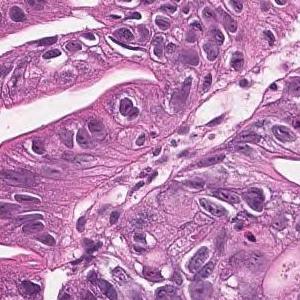
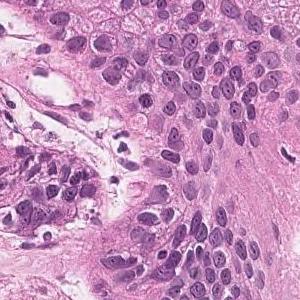
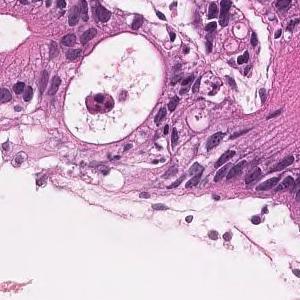
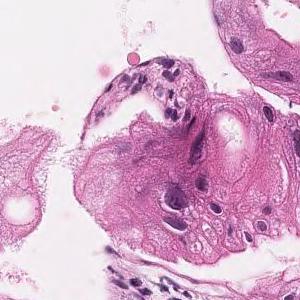
Scanned at ×20; H&E; 4 tiles from the same stomach biopsy slide; 300 × 300 pixels each.
Diagnostic report for the slide these tiles come from. The report and the diagnosis describe the slide as a whole, so these tiles may not show every feature named and may include non-tumor tissue.
On the superficial epithelium, tumor tissue that infiltrates by forming medium-sized papillary or small irregular ducts is observed. Papillary adenocarcinoma
